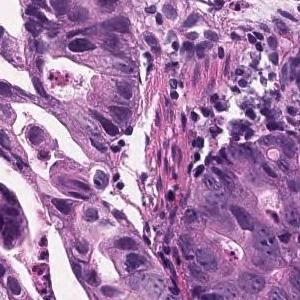
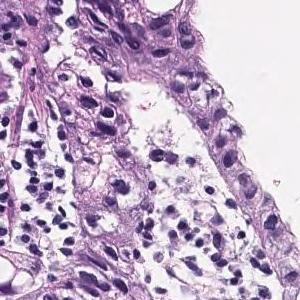
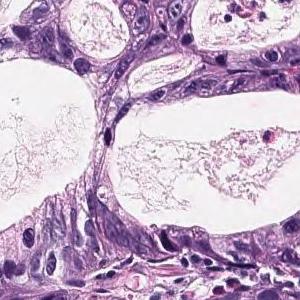
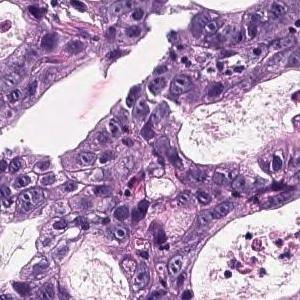
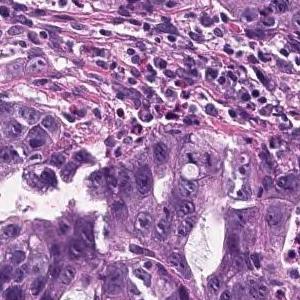
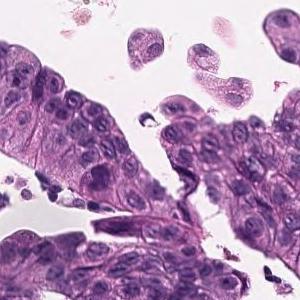
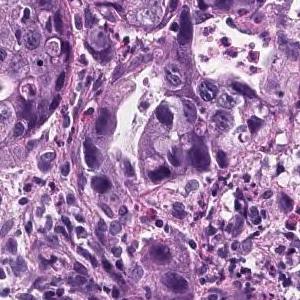
7 tiles from the same stomach biopsy slide, 300 × 300 pixels each.
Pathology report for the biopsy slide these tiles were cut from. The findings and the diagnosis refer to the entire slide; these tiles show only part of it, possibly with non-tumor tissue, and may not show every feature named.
Tumor cells are large, highly columnar, large club-shaped nuclei, and are associated with chromatin aggregation. Papillary adenocarcinoma.
